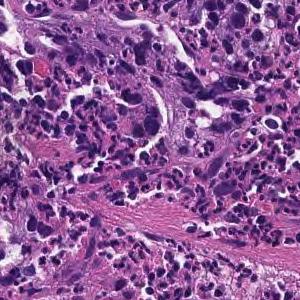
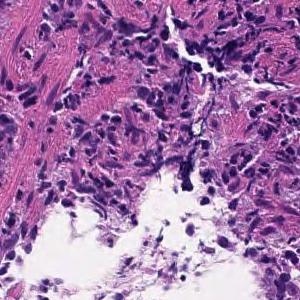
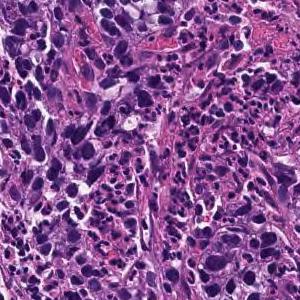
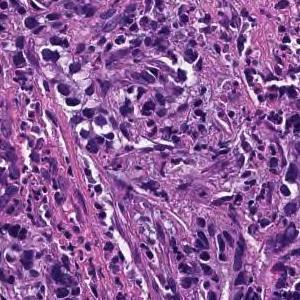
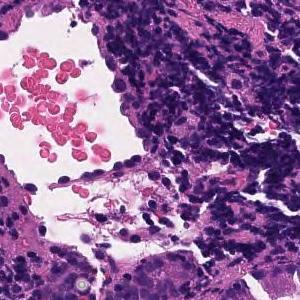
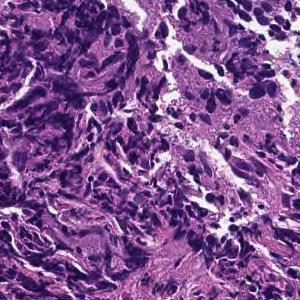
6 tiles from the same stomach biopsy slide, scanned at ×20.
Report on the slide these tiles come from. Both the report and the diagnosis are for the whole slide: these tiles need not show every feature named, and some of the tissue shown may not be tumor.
Tumor tissue consisting of cord-like or small, irregular glandular ducts fused and infiltrated is observed in the superficial epithelium. Poorly differentiated adenocarcinoma, non-solid type
"Non-solid type" is a category of the Japanese Classification of Gastric Carcinoma.
